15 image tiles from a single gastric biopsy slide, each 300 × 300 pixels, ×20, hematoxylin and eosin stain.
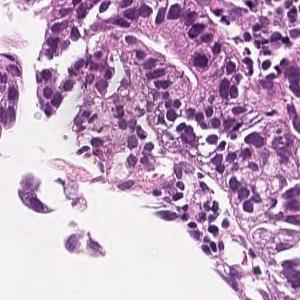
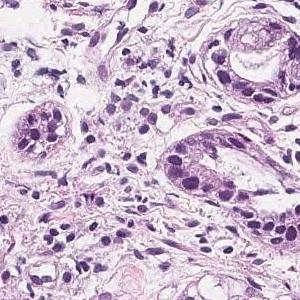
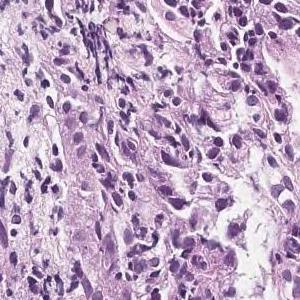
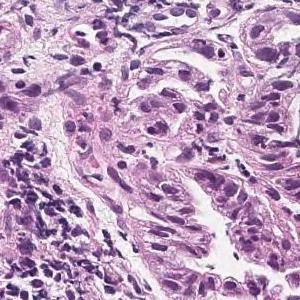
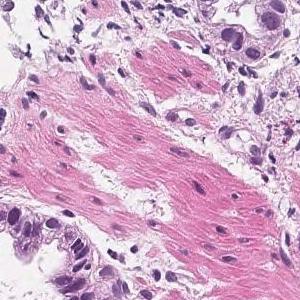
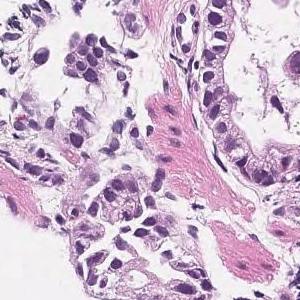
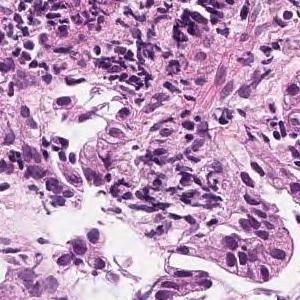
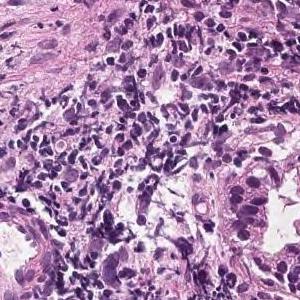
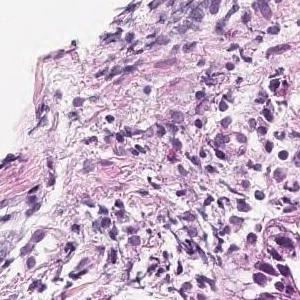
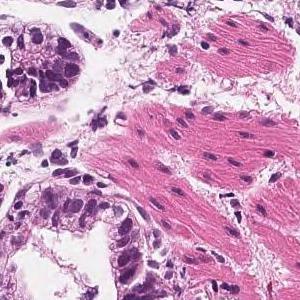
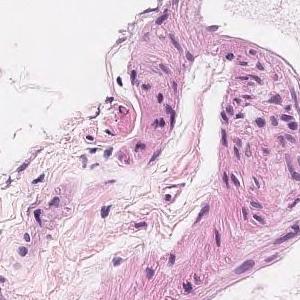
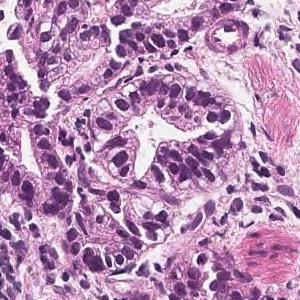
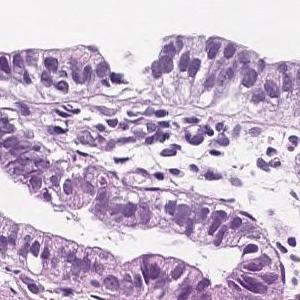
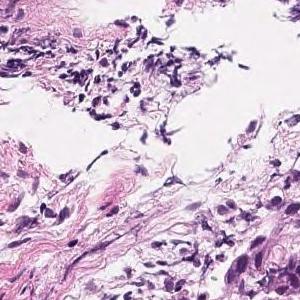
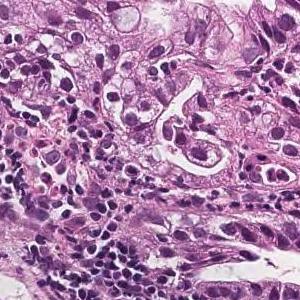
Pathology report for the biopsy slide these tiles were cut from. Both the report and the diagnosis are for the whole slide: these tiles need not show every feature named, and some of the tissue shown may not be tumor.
In the superficial epithelium, tumor tissue that invades by forming medium-sized to small, irregular ducts is observed. moderately differentiated tubular adenocarcinoma.
